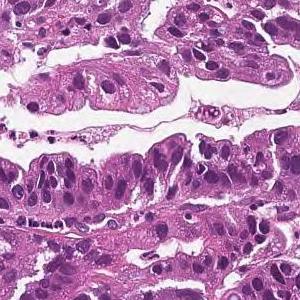
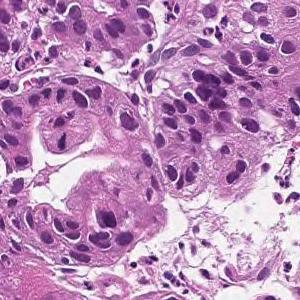
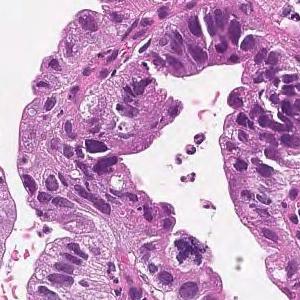
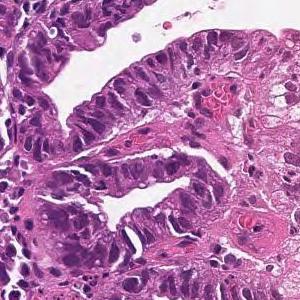
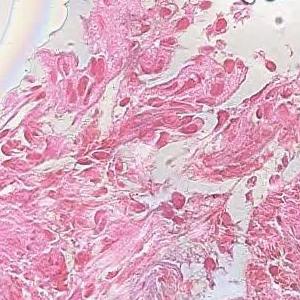
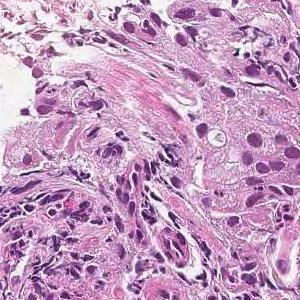
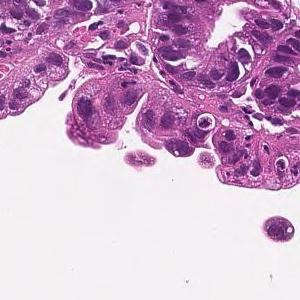
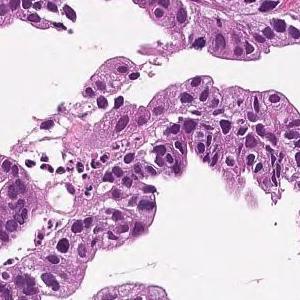
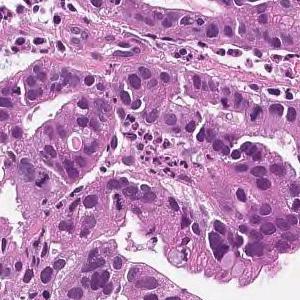
Scanned at ×20; H&E stain; 9 tiles from the same stomach biopsy slide; 300 × 300 pixels each.
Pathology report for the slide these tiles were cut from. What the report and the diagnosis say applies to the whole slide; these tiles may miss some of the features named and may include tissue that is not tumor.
On the superficial epithelium, tumor tissue that infiltrates by forming medium-sized papillary or small irregular ducts is observed. Papillary adenocarcinoma
